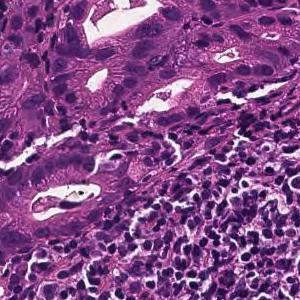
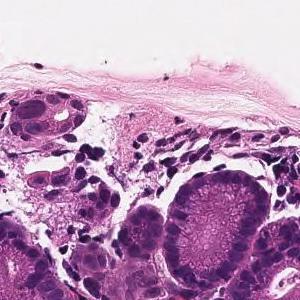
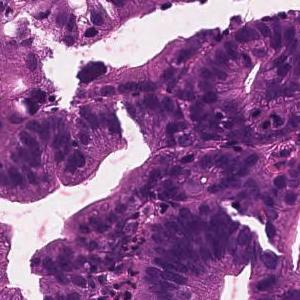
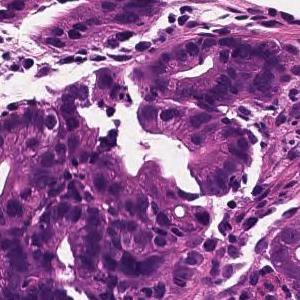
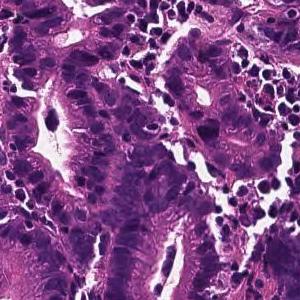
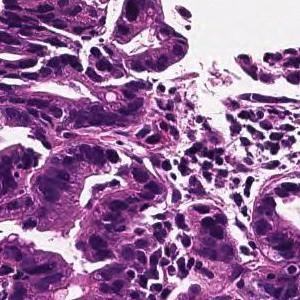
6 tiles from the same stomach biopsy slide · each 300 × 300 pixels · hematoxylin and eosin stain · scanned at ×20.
Pathology report for the slide these tiles were cut from. Both the report and the diagnosis are for the whole slide: these tiles need not show every feature named, and some of the tissue shown may not be tumor.
From the superficial epithelium to the muscularis mucosae, tumor tissue that invades by forming medium-sized irregular gland ducts is observed. Well differentiated tubular adenocarcinoma
